10 tiles cut from one stomach biopsy slide · 300×300 px each.
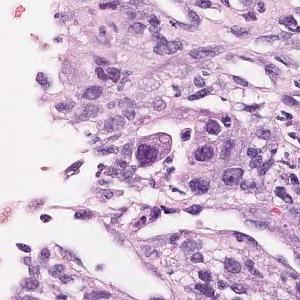
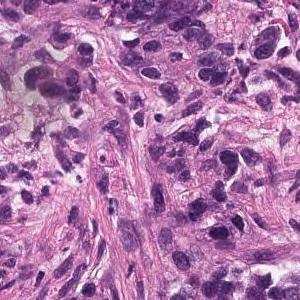
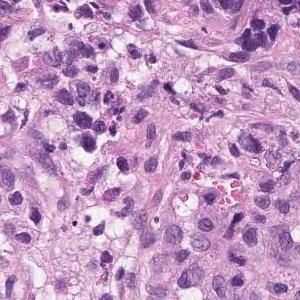
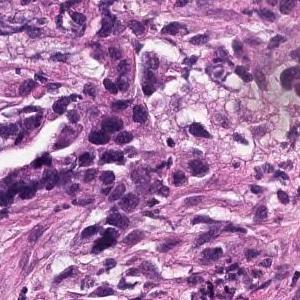
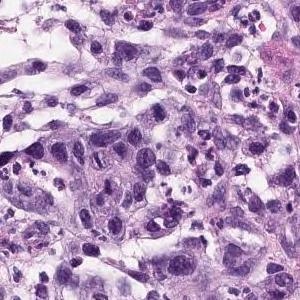
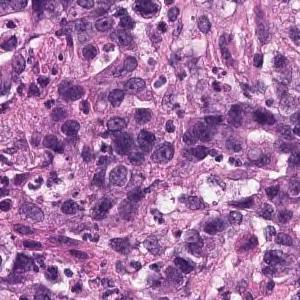
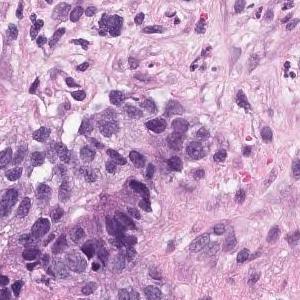
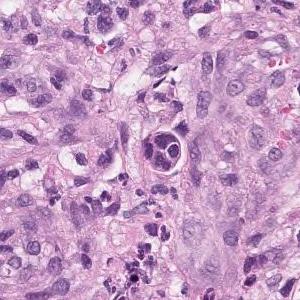
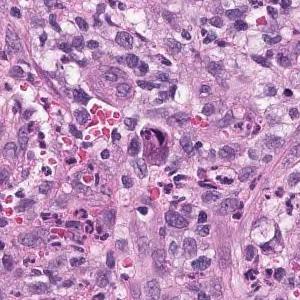
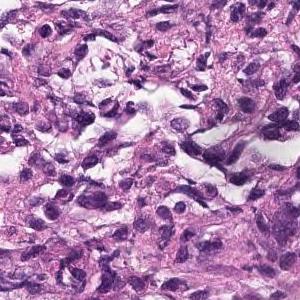
Pathology report for the biopsy slide these tiles were cut from. Both the report and the diagnosis are for the whole slide: these tiles need not show every feature named, and some of the tissue shown may not be tumor.
Medium to small, irregular glandular ducts are formed in the superficial epithelium, and in some cases, the glandular ducts are fused to show solid alveolar lesions and infiltrating tumor tissue is observed. Moderately to poorly differentiated adenocarcinoma.
